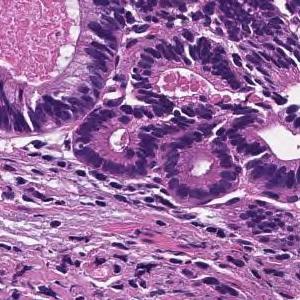
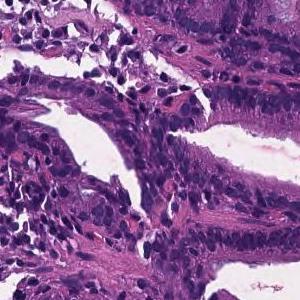
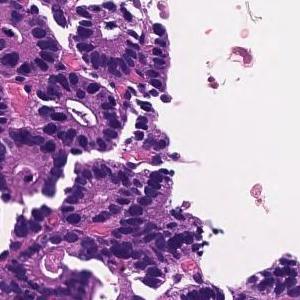
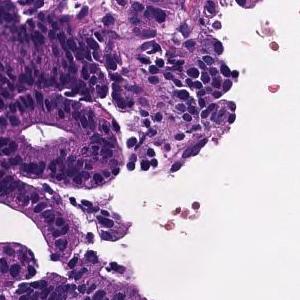
H&E stain · ×20 · 4 patches cut from one gastric biopsy slide · 300×300 px each.
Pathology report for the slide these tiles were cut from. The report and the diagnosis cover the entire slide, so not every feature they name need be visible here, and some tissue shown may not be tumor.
From the superficial epithelium to the muscularis mucosae, tumor tissue consisting of medium-sized and irregular glandular ducts infiltrating is observed. Well differentiated tubular adenocarcinoma
